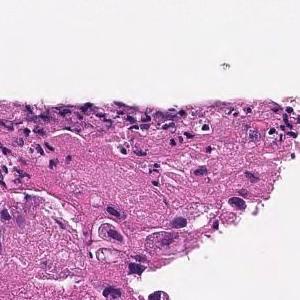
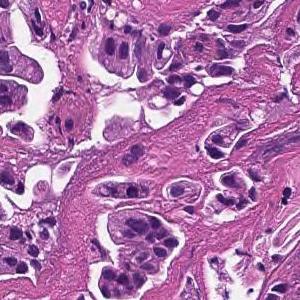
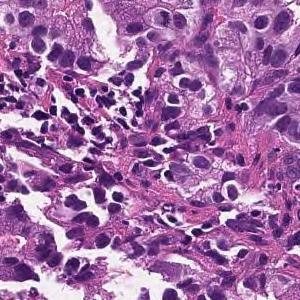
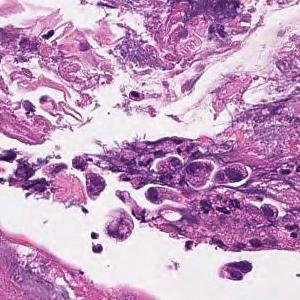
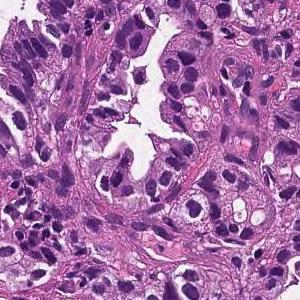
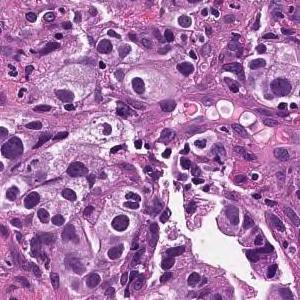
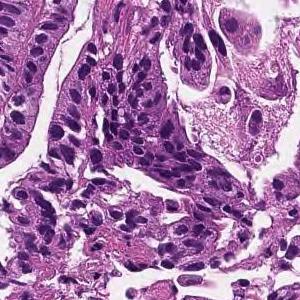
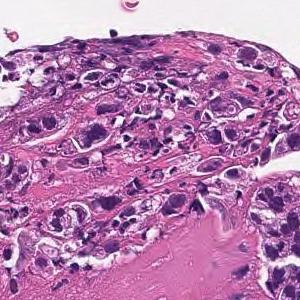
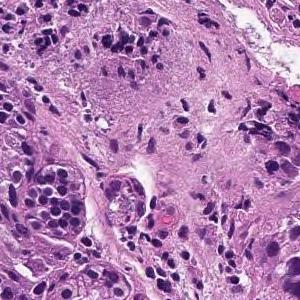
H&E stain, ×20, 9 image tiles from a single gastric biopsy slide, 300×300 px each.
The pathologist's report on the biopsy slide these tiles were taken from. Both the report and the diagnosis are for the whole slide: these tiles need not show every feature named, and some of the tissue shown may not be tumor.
Medium to small, irregular glandular ducts are formed in the superficial epithelium, and in some cases, the glandular ducts are fused to show solid alveolar lesions and infiltrating tumor tissue is observed. Moderately to poorly differentiated adenocarcinoma.
